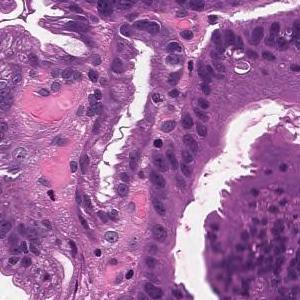
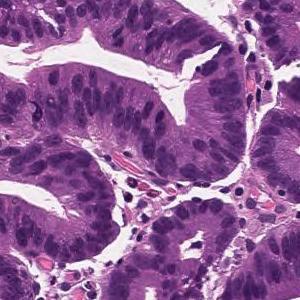
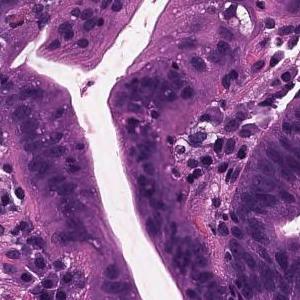
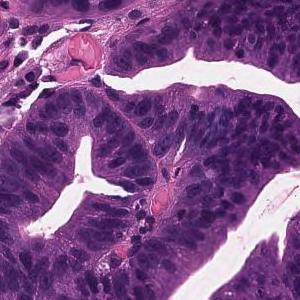
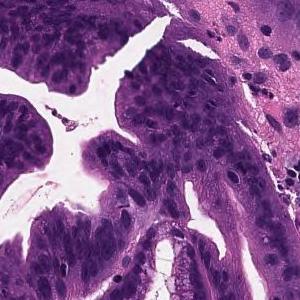
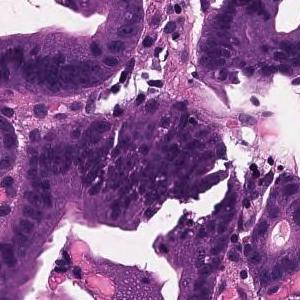
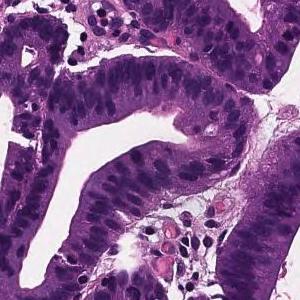
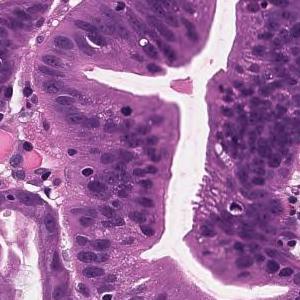
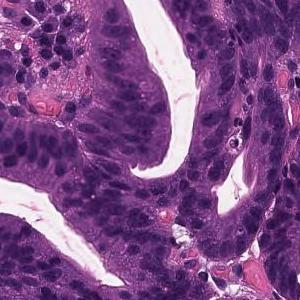
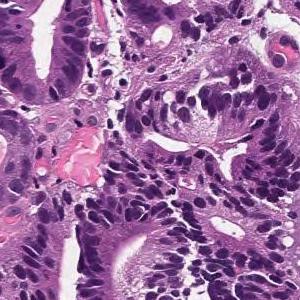
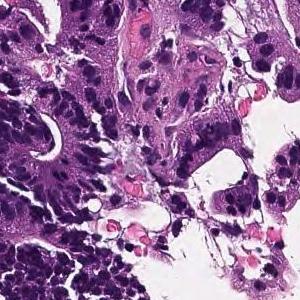
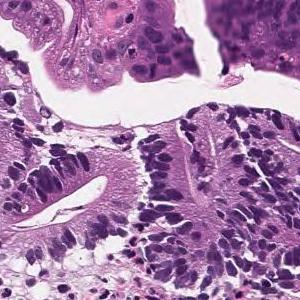
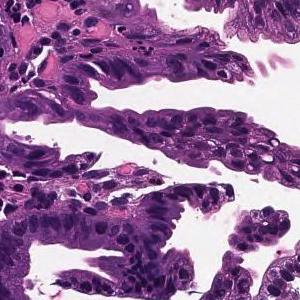
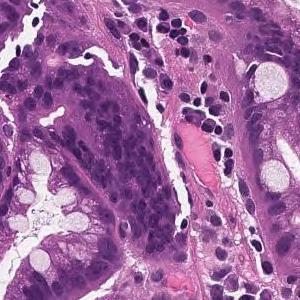
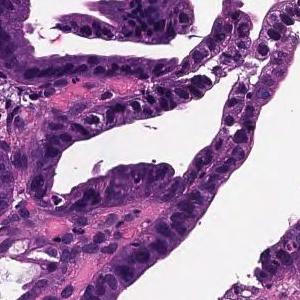
Hematoxylin and eosin stain, scanned at ×20, 15 tiles cut from one stomach biopsy slide, each 300 × 300 pixels.
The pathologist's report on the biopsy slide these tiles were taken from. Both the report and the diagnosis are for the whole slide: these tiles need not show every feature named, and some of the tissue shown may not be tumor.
Tumor cells are large, highly columnar, large club-shaped nuclei, and are associated with chromatin aggregation. Papillary adenocarcinoma.
